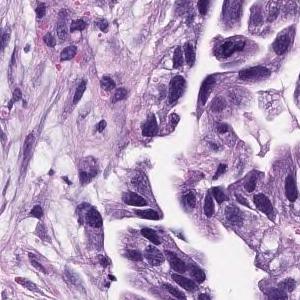
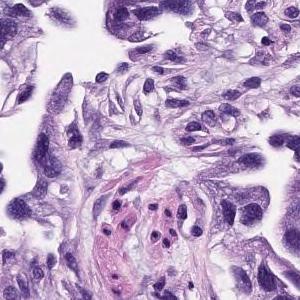
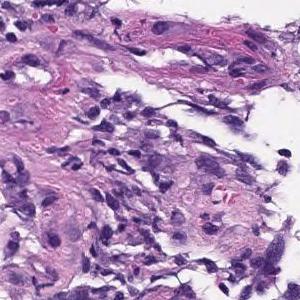
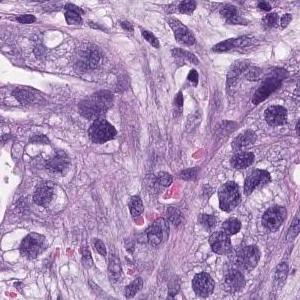
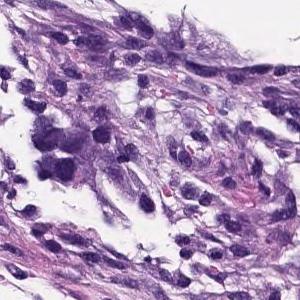
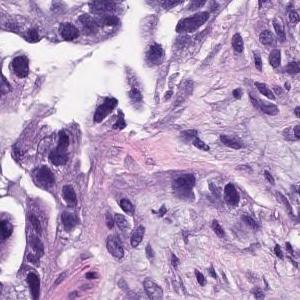
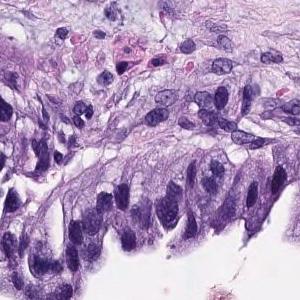
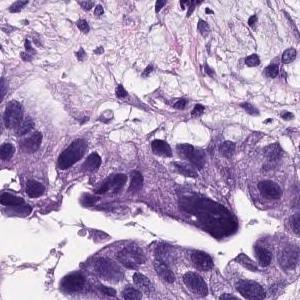
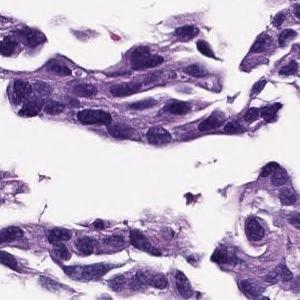
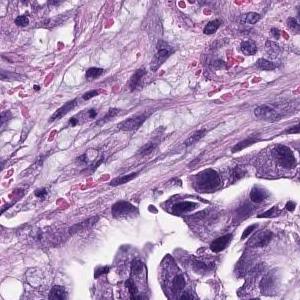
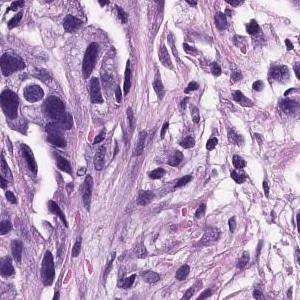
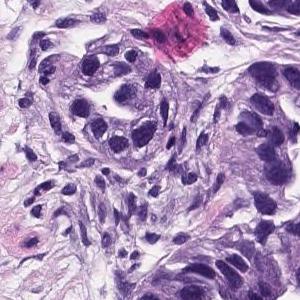
12 image tiles from a single gastric biopsy slide, 300 × 300 pixels each, H&E stain.
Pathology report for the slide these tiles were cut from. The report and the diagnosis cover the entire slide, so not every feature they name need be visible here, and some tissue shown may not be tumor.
gastric mucosal tissue with atypical glandular proliferation arranged in tubules and acini. The tumor cells showed hyperchromatic nuclei, high N/C ratio and loss of polarity. Tubular adenocarcinoma of stomach, moderately differentiated.
Classified as moderately differentiated tubular adenocarcinoma.
